Hematoxylin and eosin stain · 20× magnification · 4 patches cut from one gastric biopsy slide · 300 × 300 pixels each.
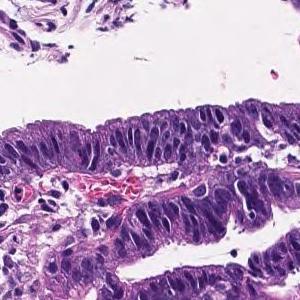
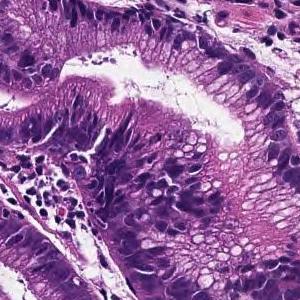
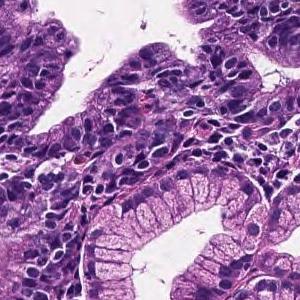
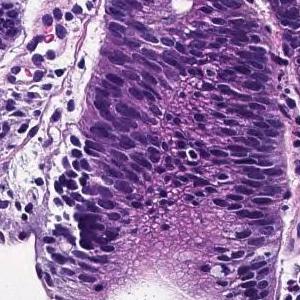
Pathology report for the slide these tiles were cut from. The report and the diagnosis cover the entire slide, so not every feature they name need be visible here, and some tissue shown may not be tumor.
From the superficial epithelium to the muscularis mucosae, tumor tissue consisting of medium-sized and irregular glandular ducts infiltrating is observed. Well differentiated tubular adenocarcinoma
